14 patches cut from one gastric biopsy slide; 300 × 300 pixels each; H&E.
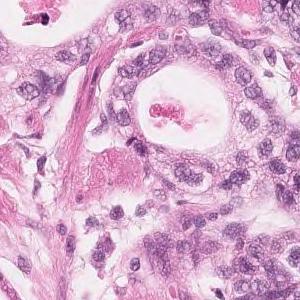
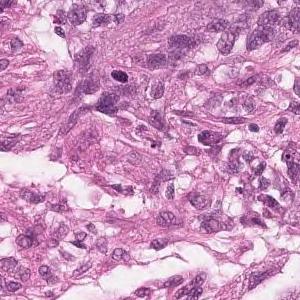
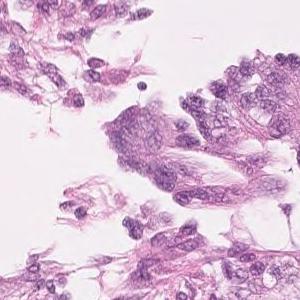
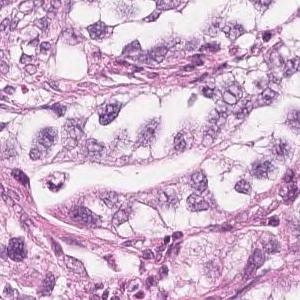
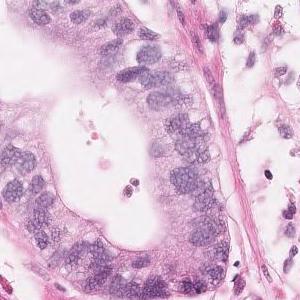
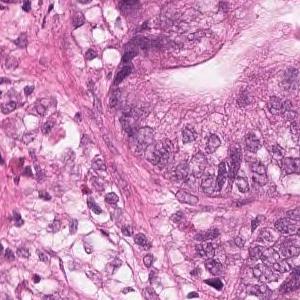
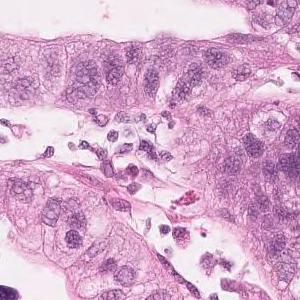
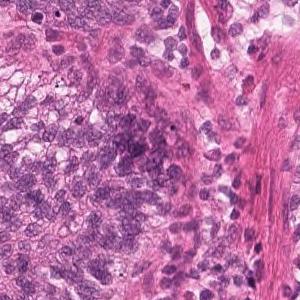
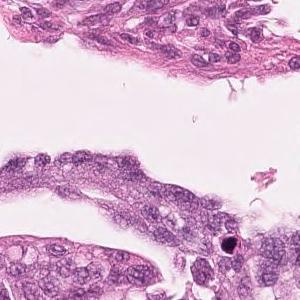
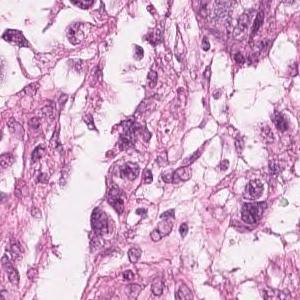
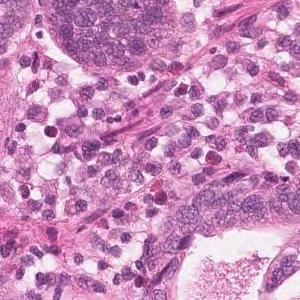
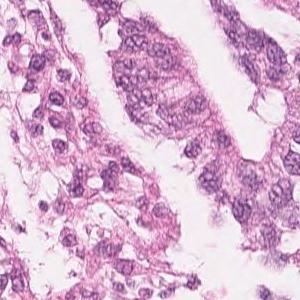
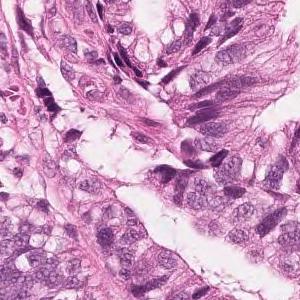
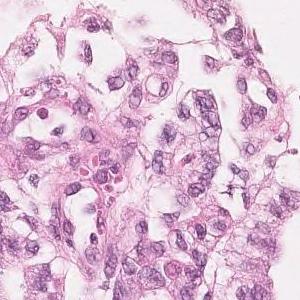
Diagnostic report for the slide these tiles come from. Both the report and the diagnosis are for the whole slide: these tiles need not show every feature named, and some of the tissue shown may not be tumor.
Highly columnar epithelium with disordered nuclear localization proliferates showing fusion ductal construction. moderately differentiated tubular adenocarcinoma
